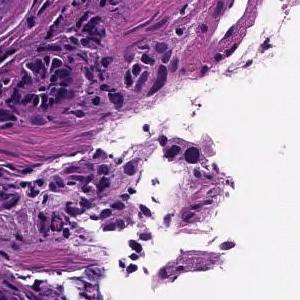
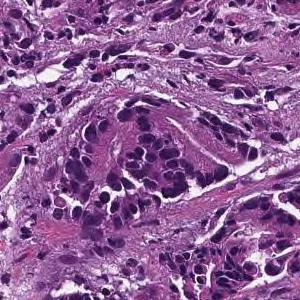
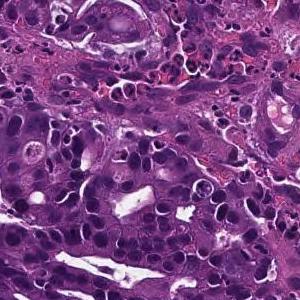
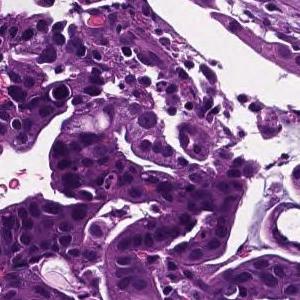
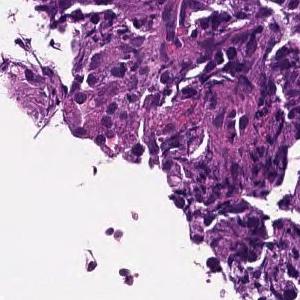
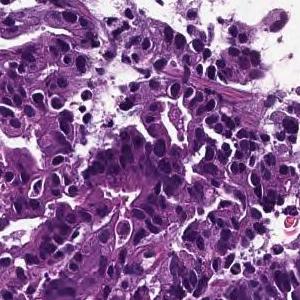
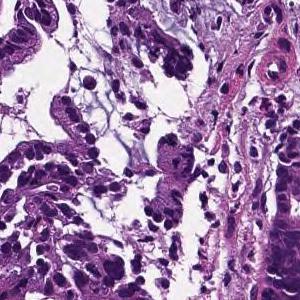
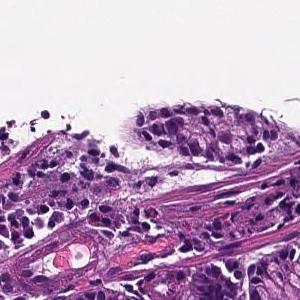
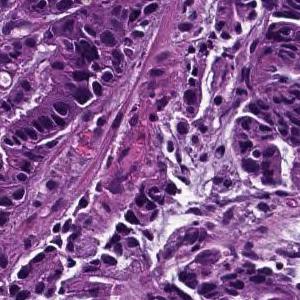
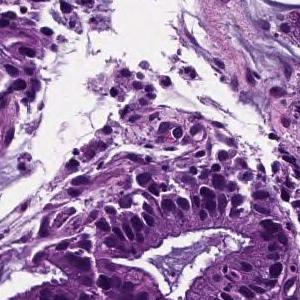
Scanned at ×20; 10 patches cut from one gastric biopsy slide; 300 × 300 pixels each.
Diagnostic report for the slide these tiles come from. What the report and the diagnosis say applies to the whole slide; these tiles may miss some of the features named and may include tissue that is not tumor.
On the superficial epithelium, tumor tissue consisting of large irregular glandular ducts partially fused and infiltrated is observed. Well to moderately differentiated tubular adenocarcinoma (well differentiated tubular adenocarcinoma, moderately differentiated tubular adenocarcinoma)
Subtype: Well to moderately differentiated tubular adenocarcinoma.
